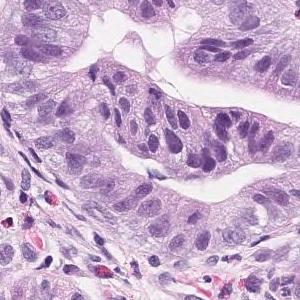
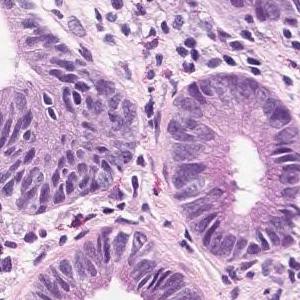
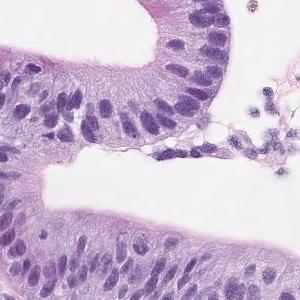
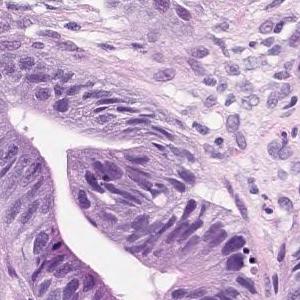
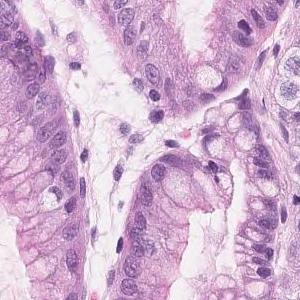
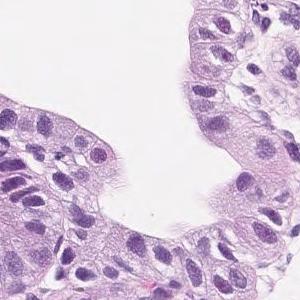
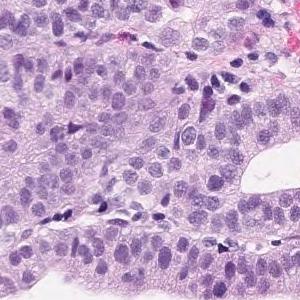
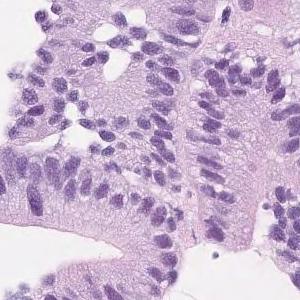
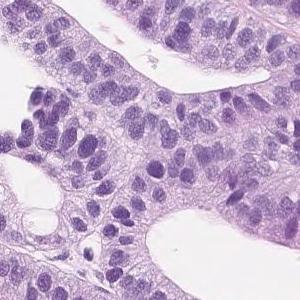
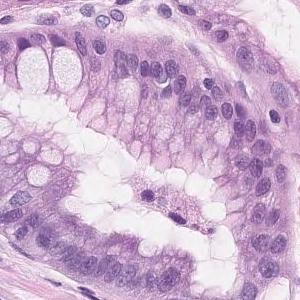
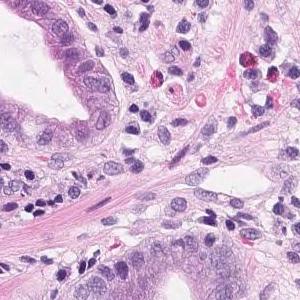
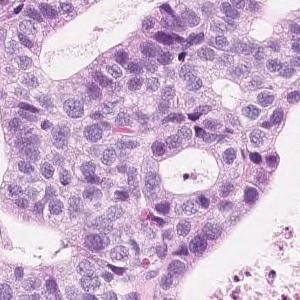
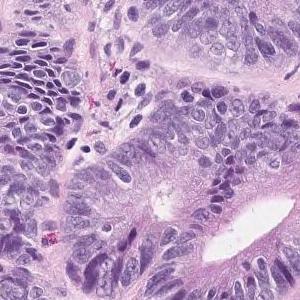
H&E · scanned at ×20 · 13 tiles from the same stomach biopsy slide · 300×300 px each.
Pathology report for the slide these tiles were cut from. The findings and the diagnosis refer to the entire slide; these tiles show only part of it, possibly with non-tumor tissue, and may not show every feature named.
Short atypical epithelium with swelling of the nucleus shows proliferating, large and small irregular ductal structures. Well to moderately differentiated tubular adenocarcinoma (well differentiated tubular adenocarcinoma-moderately differentiated tubular adenocarcinoma)
Tumor subtype: well to moderately differentiated tubular adenocarcinoma.
